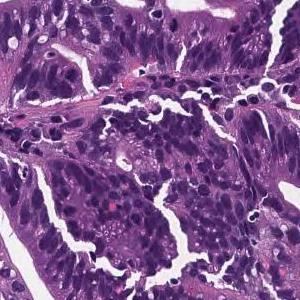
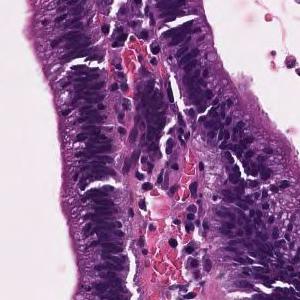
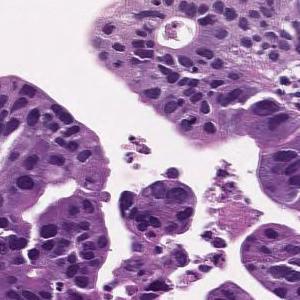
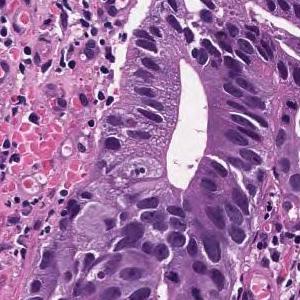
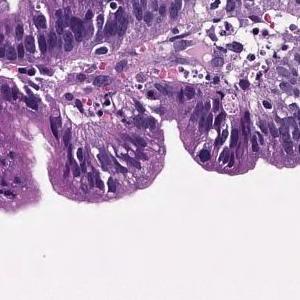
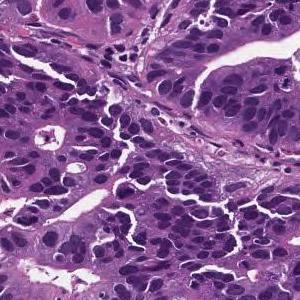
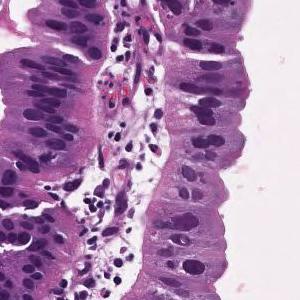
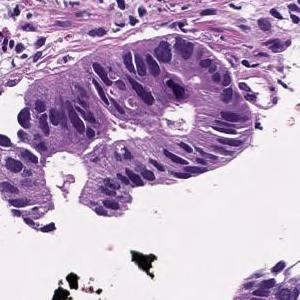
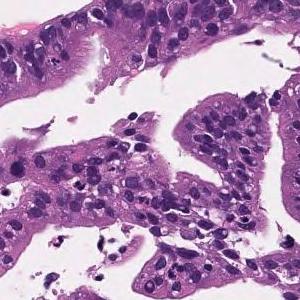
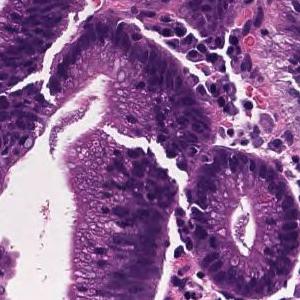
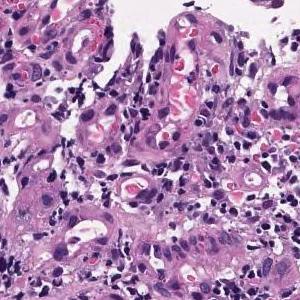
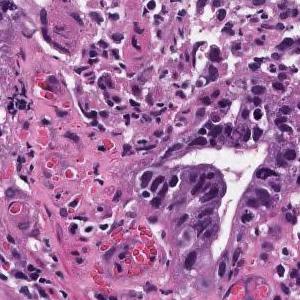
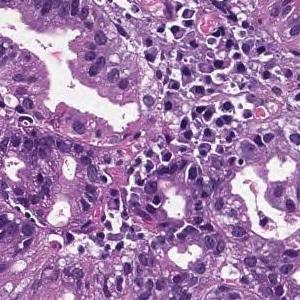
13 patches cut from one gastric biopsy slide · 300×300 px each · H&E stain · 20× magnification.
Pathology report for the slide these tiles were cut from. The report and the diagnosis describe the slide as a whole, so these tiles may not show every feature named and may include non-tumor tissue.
Tumor cells are large, highly columnar, large club-shaped nuclei, and are associated with chromatin aggregation. Papillary adenocarcinoma.
